4 tiles cut from one stomach biopsy slide; each 300 × 300 pixels; scanned at ×20; hematoxylin and eosin stain.
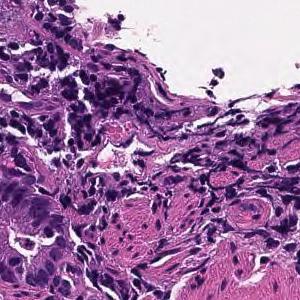
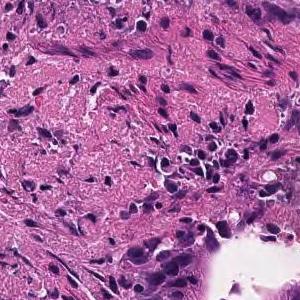
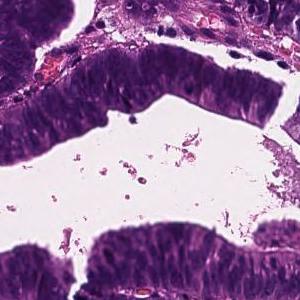
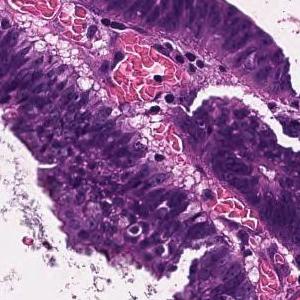
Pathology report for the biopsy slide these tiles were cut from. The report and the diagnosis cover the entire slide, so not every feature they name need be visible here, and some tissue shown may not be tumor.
Tumor tissue consisting of large papillary structures is found in the superficial epithelium. Papillary adenocarcinoma.
